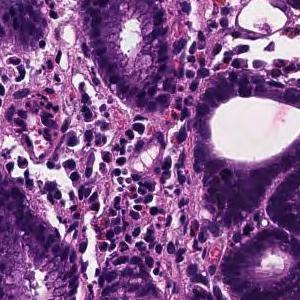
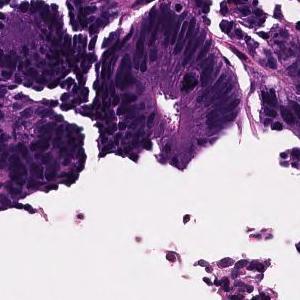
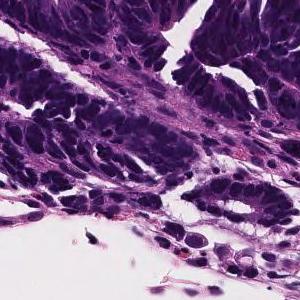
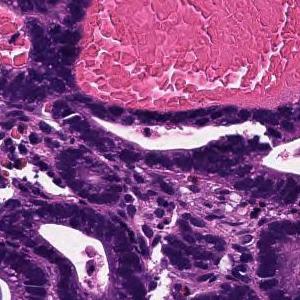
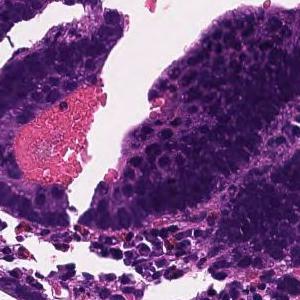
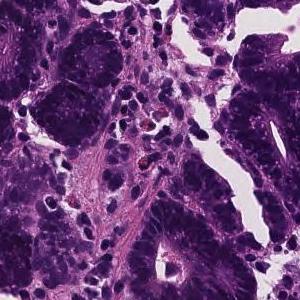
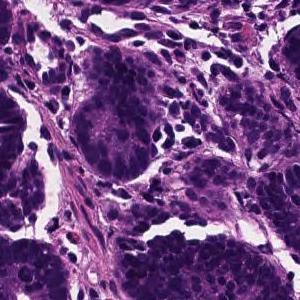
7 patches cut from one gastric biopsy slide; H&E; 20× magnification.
The pathologist's report on the biopsy slide these tiles were taken from. The findings and the diagnosis refer to the entire slide; these tiles show only part of it, possibly with non-tumor tissue, and may not show every feature named.
On the superficial epithelium, tumor tissue consisting of medium-sized and irregular glandular ducts partially fused and infiltrated is observed. Well to moderately differentiated tubular adenocarcinoma (well differentiated tubular adenocarcinoma, moderately differentiated tubular adenocarcinoma)
Histologic type: Well to moderately differentiated tubular adenocarcinoma.
